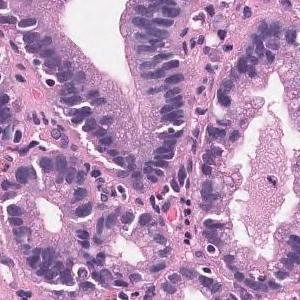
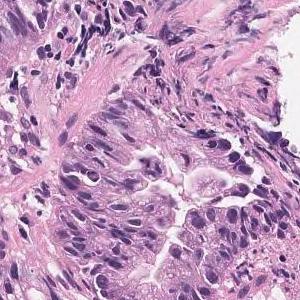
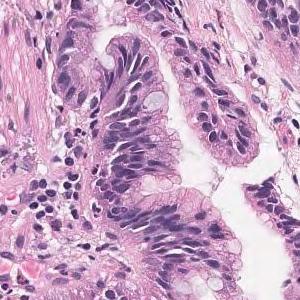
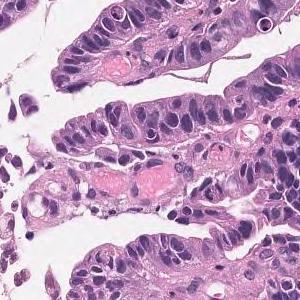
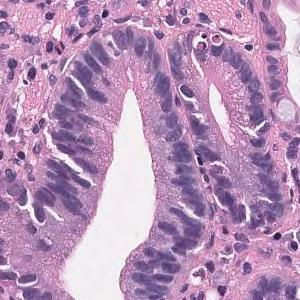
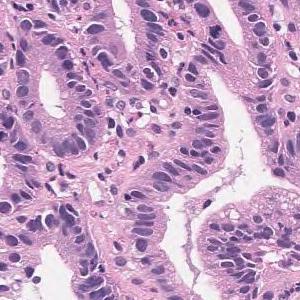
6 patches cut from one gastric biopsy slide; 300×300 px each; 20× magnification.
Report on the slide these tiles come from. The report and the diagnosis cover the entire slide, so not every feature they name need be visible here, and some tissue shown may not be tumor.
Tumor tissue that grows tubular from the surface to the glandular fossa is seen. Adenocarcinoma.
Subtype: Well differentiated tubular adenocarcinoma.
